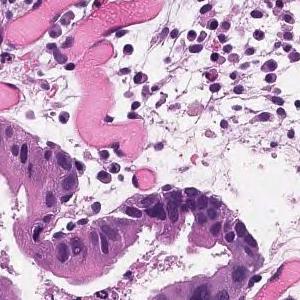
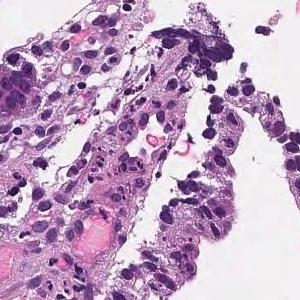
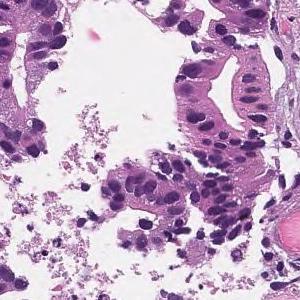
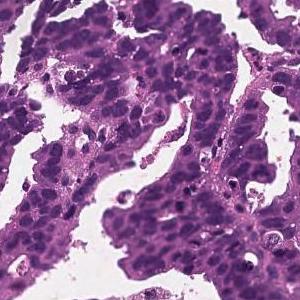
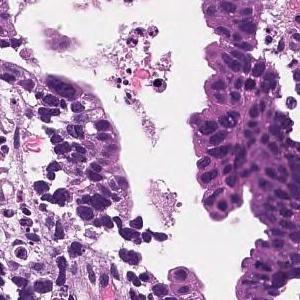
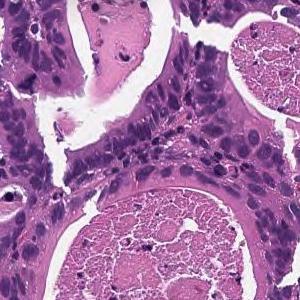
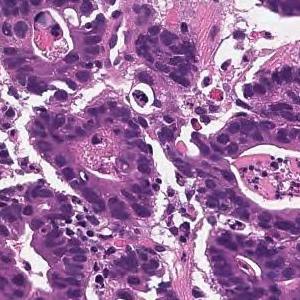
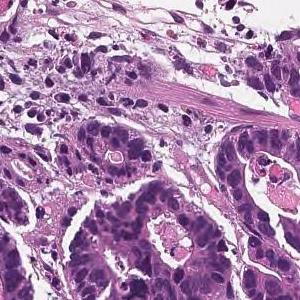
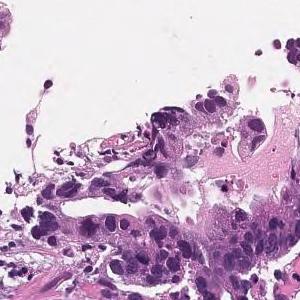
9 image tiles from a single gastric biopsy slide · 300 × 300 pixels each · hematoxylin and eosin stain.
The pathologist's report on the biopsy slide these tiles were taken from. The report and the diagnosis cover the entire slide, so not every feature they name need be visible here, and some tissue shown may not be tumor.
In the superficial epithelium, tumor tissue that invades by forming medium-sized to small, irregular ducts is observed. moderately differentiated tubular adenocarcinoma.
